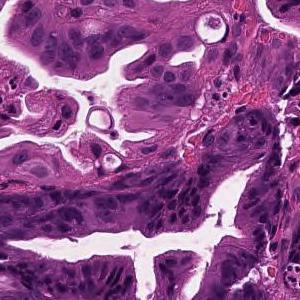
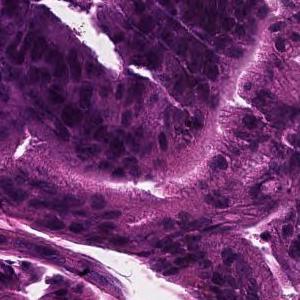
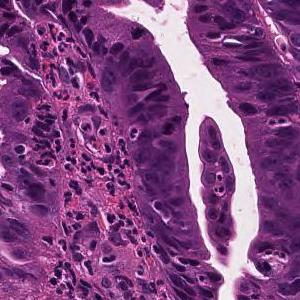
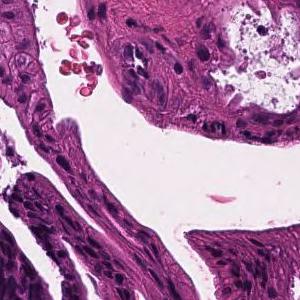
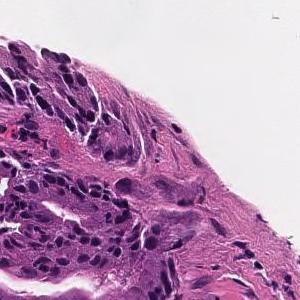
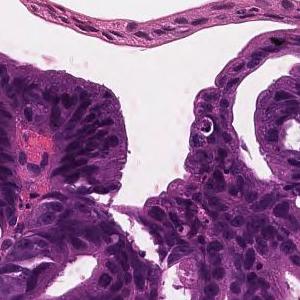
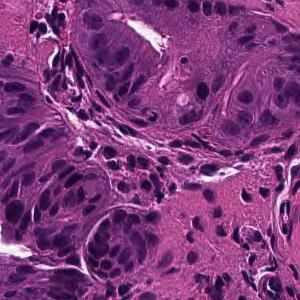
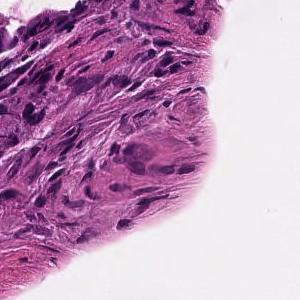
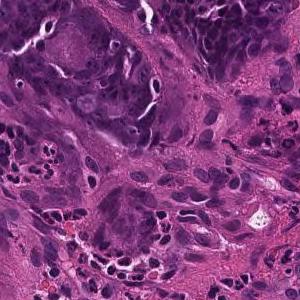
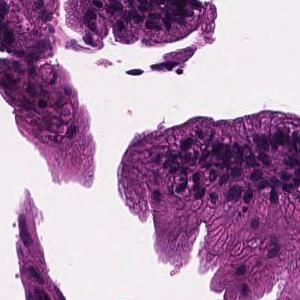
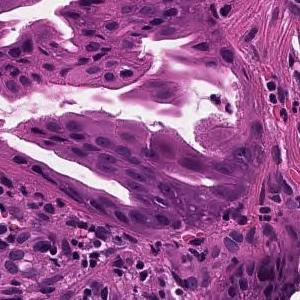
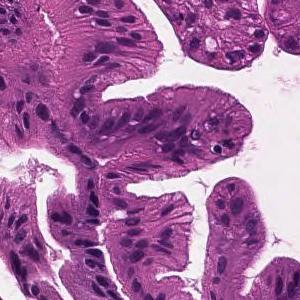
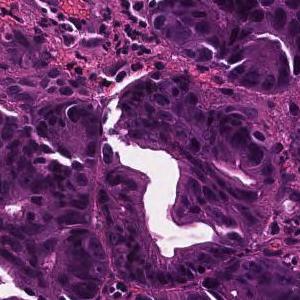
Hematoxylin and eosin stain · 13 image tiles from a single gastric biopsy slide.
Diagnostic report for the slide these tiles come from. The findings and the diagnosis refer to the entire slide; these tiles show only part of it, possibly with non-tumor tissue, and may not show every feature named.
Tumor cells are large, highly columnar, large club-shaped nuclei, and are associated with chromatin aggregation. Papillary adenocarcinoma.
